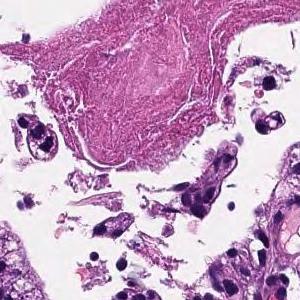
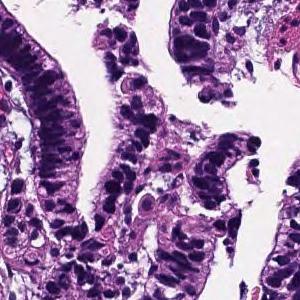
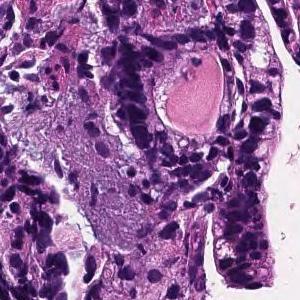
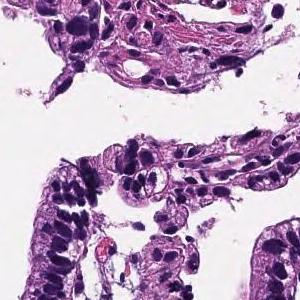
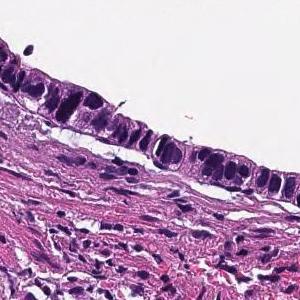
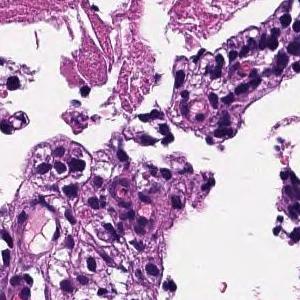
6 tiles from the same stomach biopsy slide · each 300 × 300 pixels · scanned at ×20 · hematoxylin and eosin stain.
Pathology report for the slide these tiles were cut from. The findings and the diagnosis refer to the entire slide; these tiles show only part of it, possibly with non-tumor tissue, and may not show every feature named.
On the superficial epithelium, tumor tissue that infiltrates by forming medium-sized papillary or small irregular ducts is observed. Papillary adenocarcinoma
